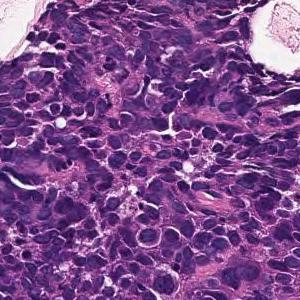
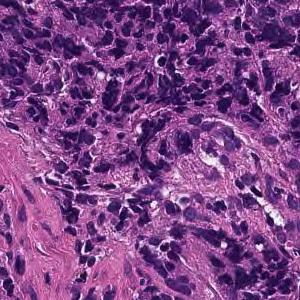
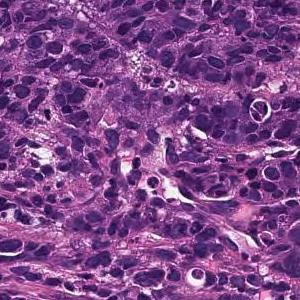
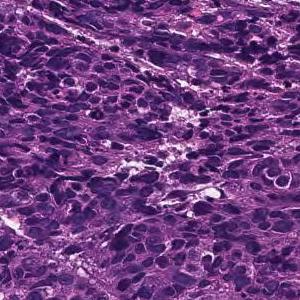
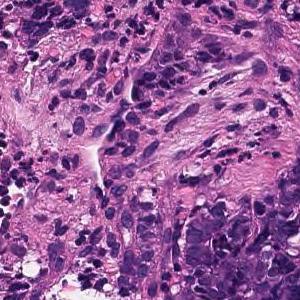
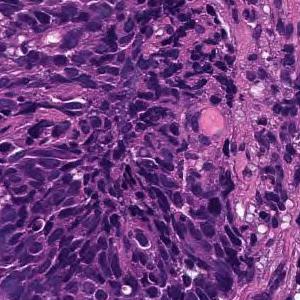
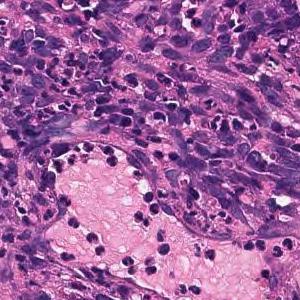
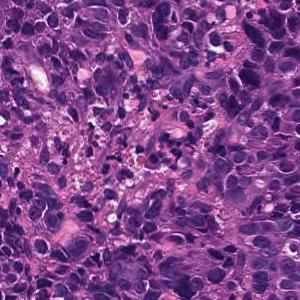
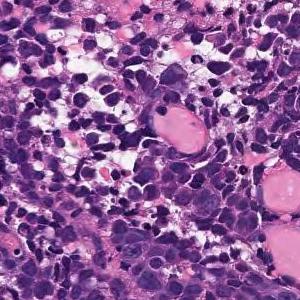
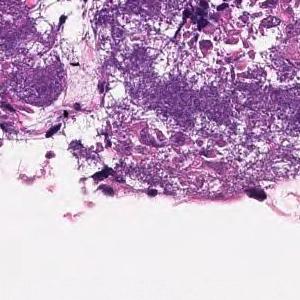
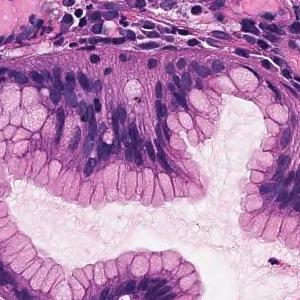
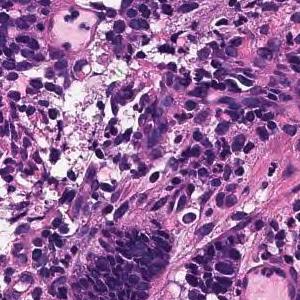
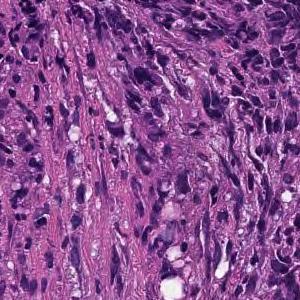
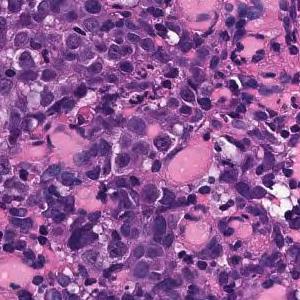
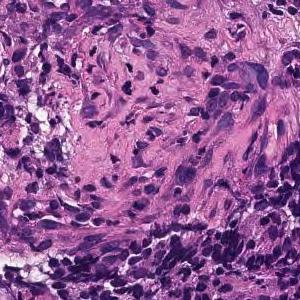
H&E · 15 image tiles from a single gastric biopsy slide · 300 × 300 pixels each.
Report on the slide these tiles come from. The findings and the diagnosis refer to the entire slide; these tiles show only part of it, possibly with non-tumor tissue, and may not show every feature named.
Large sheet-like or diffusely infiltrating tumor tissue is found in the superficial epithelium. Poorly differentiated adenocarcinoma, solid-type
Tumor subtype: poorly differentiated adenocarcinoma, solid type (Japanese Classification of Gastric Carcinoma). The WHO 2019 equivalent is tubular adenocarcinoma, poorly differentiated.
